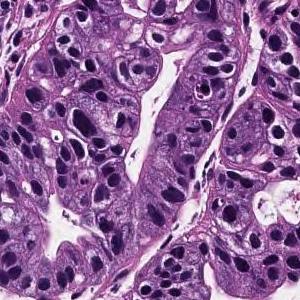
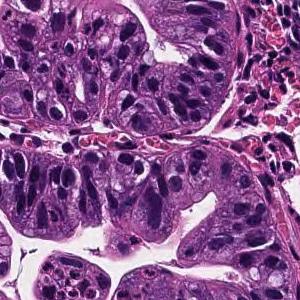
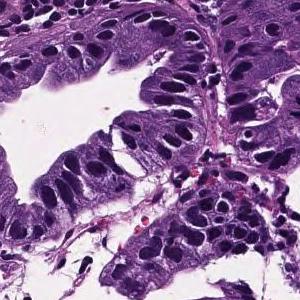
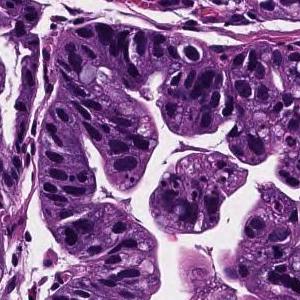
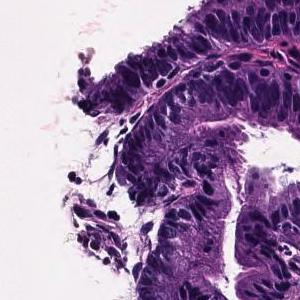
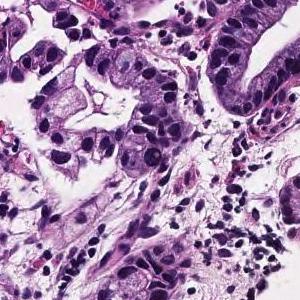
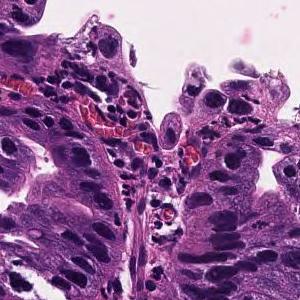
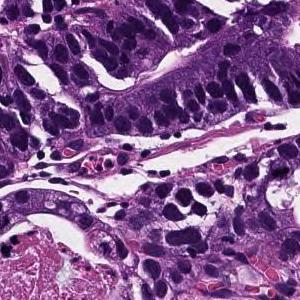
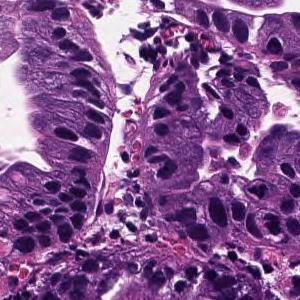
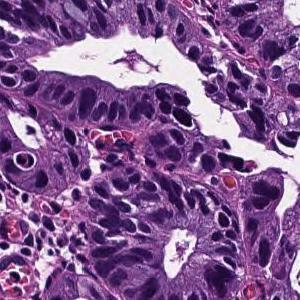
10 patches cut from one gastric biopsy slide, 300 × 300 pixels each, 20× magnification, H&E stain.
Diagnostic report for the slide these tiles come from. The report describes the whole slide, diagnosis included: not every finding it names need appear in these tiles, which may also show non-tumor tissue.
In the superficial epithelium, tumor tissue that invades by forming medium-sized to small, irregular ducts is observed. Well differentiated tubular adenocarcinoma.
